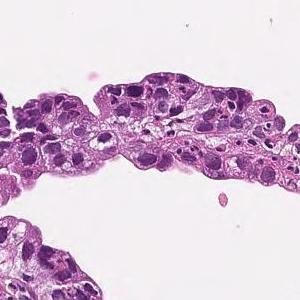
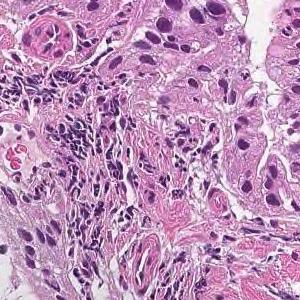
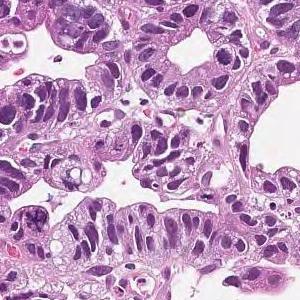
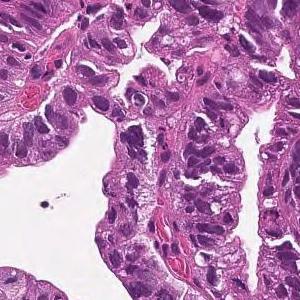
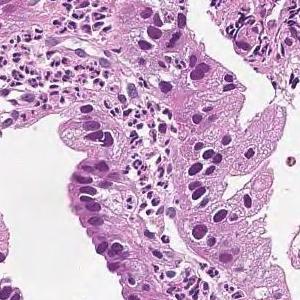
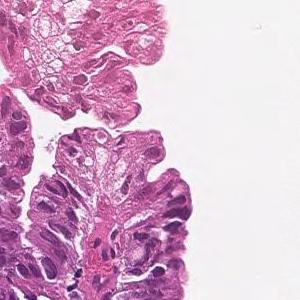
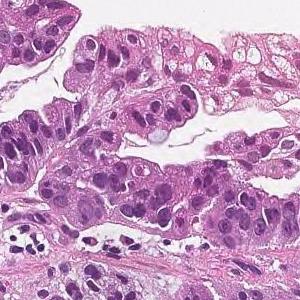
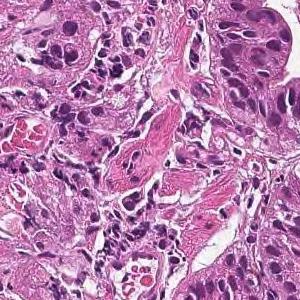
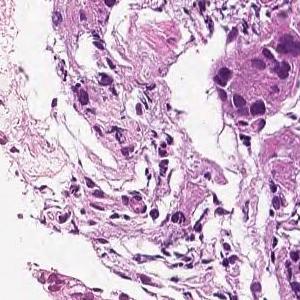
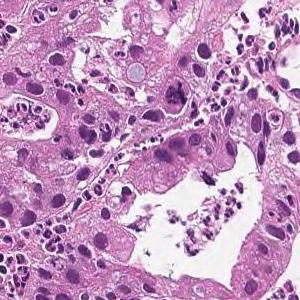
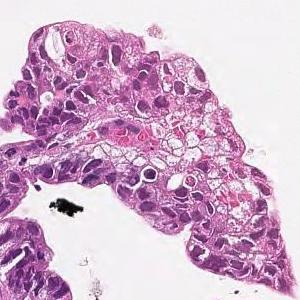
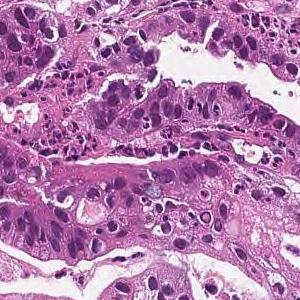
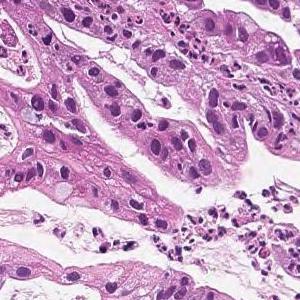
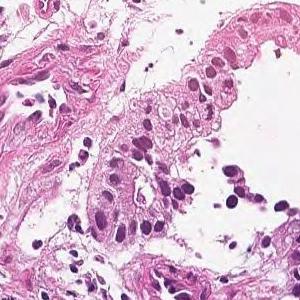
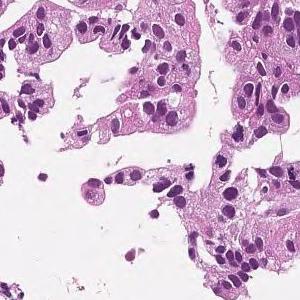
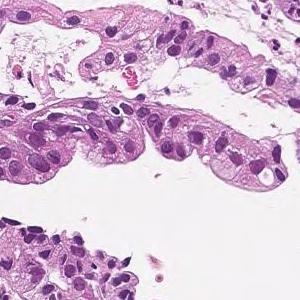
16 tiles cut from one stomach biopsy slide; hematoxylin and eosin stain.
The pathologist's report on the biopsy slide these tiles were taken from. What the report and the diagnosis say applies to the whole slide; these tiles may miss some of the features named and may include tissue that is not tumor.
On the superficial epithelium, tumor tissue that infiltrates by forming medium-sized papillary or small irregular ducts is observed. Papillary adenocarcinoma
